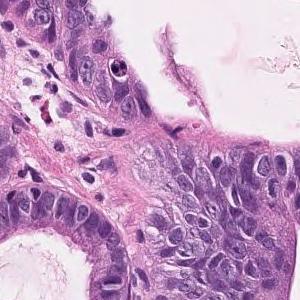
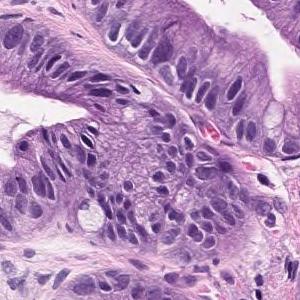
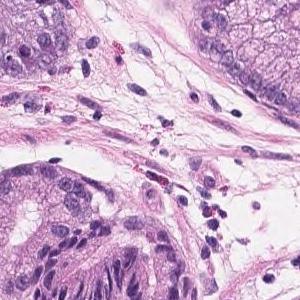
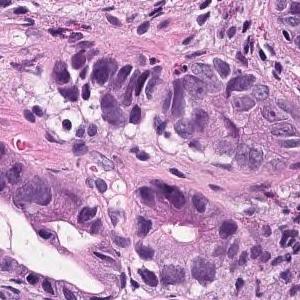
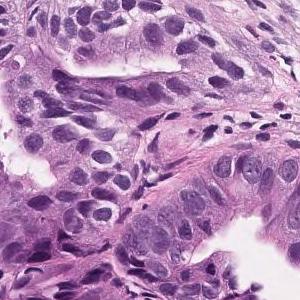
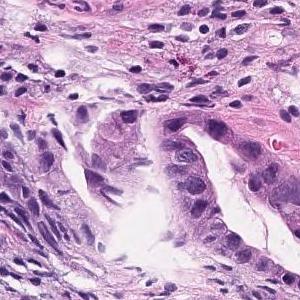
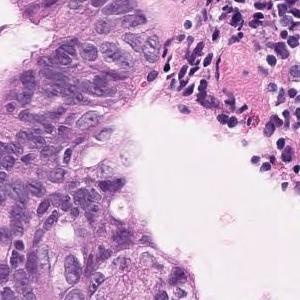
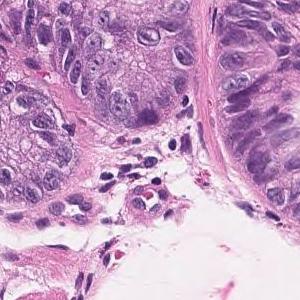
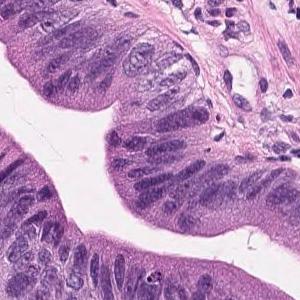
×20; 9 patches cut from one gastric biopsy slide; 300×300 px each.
Report on the slide these tiles come from. The report and the diagnosis describe the slide as a whole, so these tiles may not show every feature named and may include non-tumor tissue.
Atypical ducts that branch intricately are observed. Well differentiated tubular adenocarcinoma
